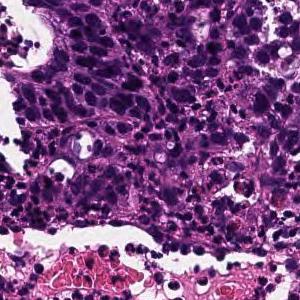
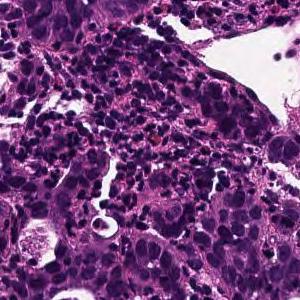
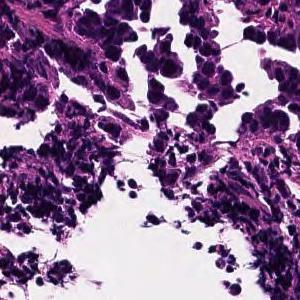
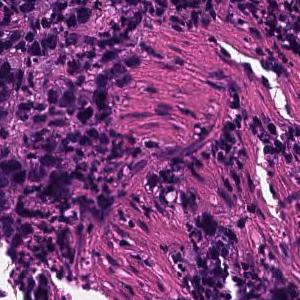
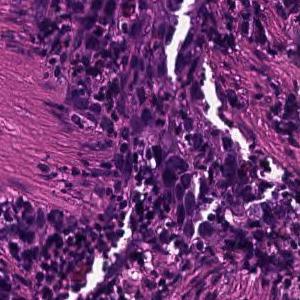
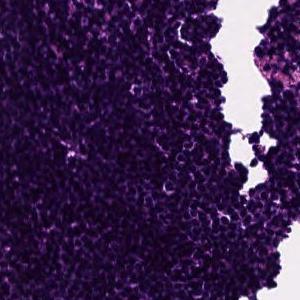
Scanned at ×20 · hematoxylin and eosin stain · 6 image tiles from a single gastric biopsy slide.
Report on the slide these tiles come from. The report and the diagnosis describe the slide as a whole, so these tiles may not show every feature named and may include non-tumor tissue.
Tumor tissue consisting of cord-like or small, irregular glandular ducts fused and infiltrated is observed in the superficial epithelium. Poorly differentiated adenocarcinoma, non-solid type
The term "non-solid type" comes from the Japanese Classification of Gastric Carcinoma.
